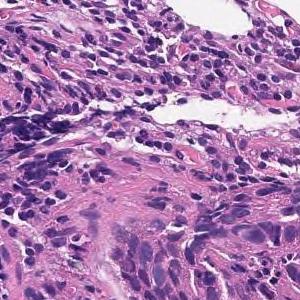
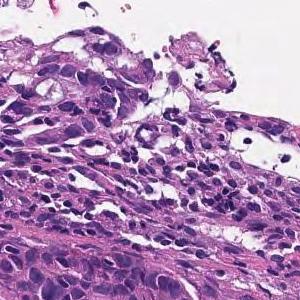
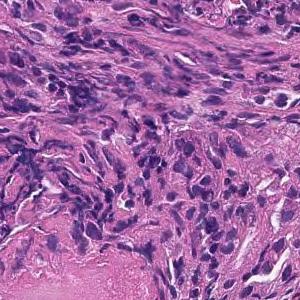
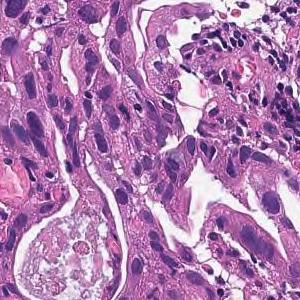
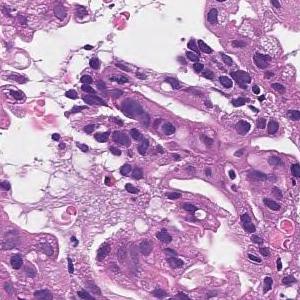
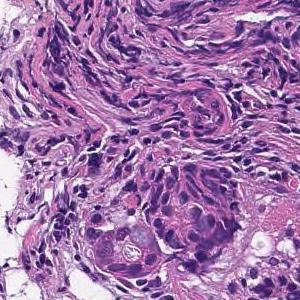
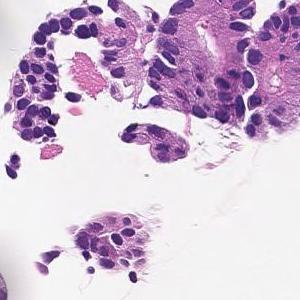
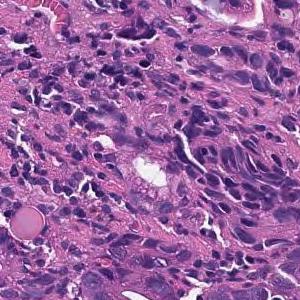
H&E stain, scanned at ×20, 8 patches cut from one gastric biopsy slide.
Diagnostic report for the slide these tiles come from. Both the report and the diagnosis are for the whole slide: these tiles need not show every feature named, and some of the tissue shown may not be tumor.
In the superficial epithelium, tumor tissue that invades by forming medium-sized to small, irregular ducts is observed. moderately differentiated tubular adenocarcinoma.
